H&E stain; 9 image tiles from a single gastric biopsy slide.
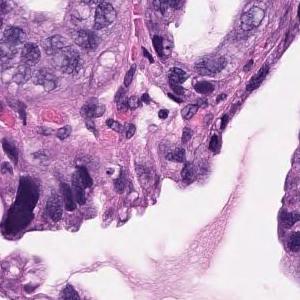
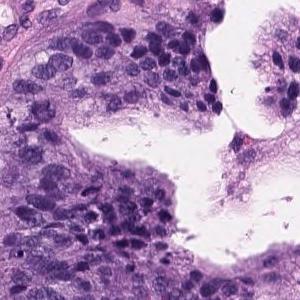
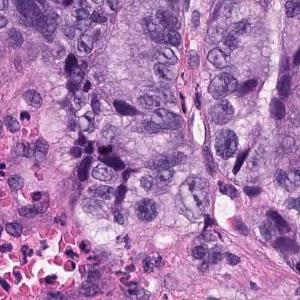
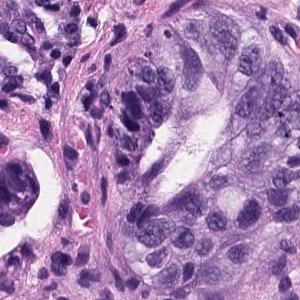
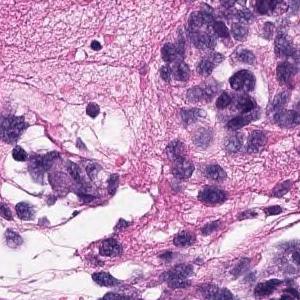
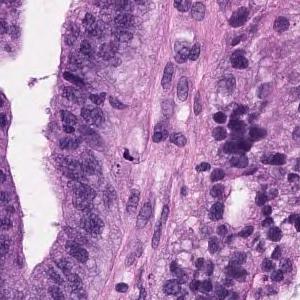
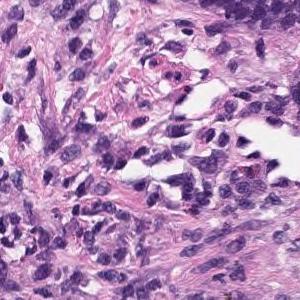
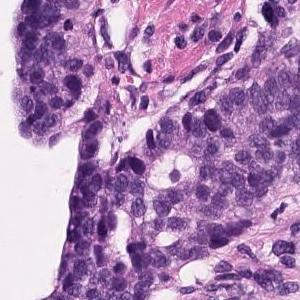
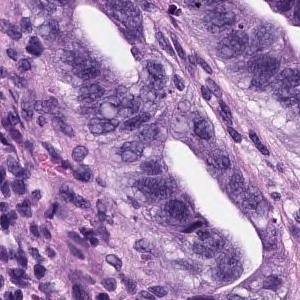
Report on the slide these tiles come from. The report describes the whole slide, diagnosis included: not every finding it names need appear in these tiles, which may also show non-tumor tissue.
Tumor cells are large, highly columnar, large club-shaped nuclei, and are associated with chromatin aggregation. Papillary adenocarcinoma.
